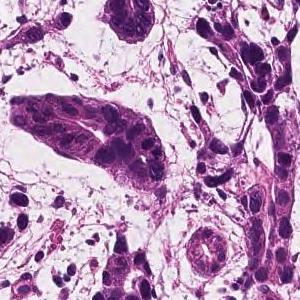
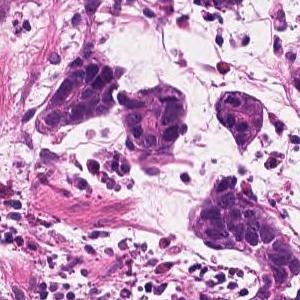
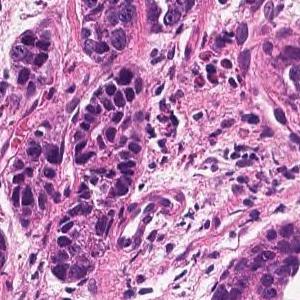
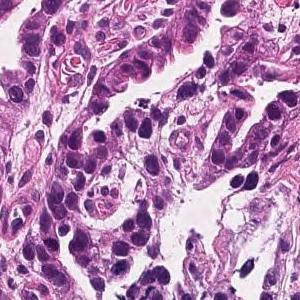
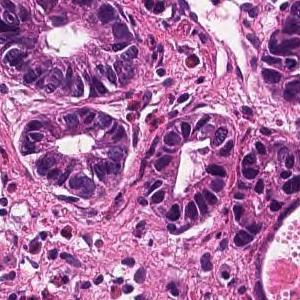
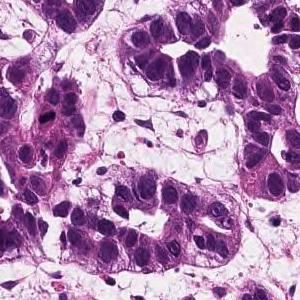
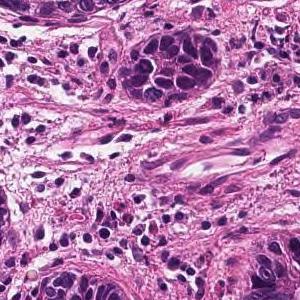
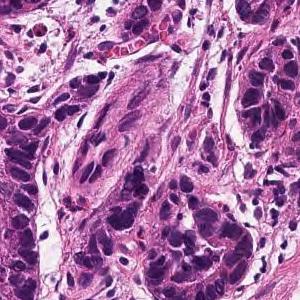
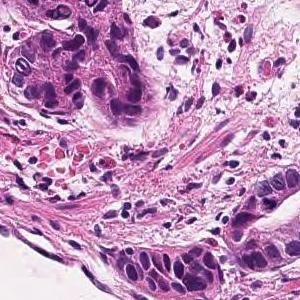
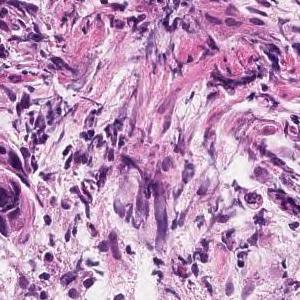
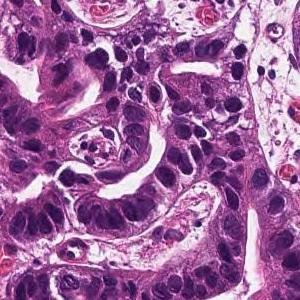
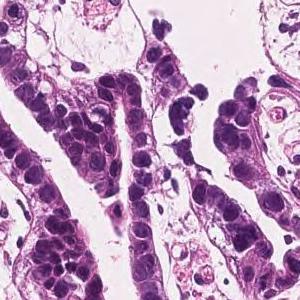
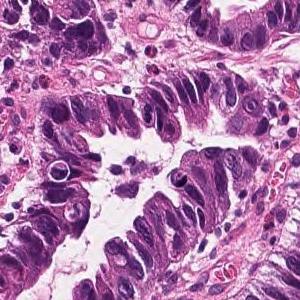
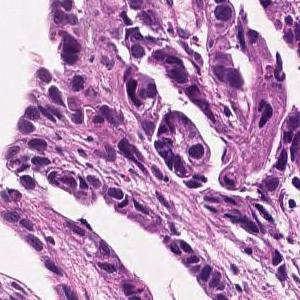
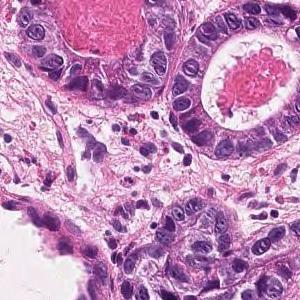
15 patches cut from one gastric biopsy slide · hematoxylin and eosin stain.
Report on the slide these tiles come from. The report and the diagnosis cover the entire slide, so not every feature they name need be visible here, and some tissue shown may not be tumor.
In the superficial epithelium, tumor tissue that invades by forming medium-sized to small, irregular ducts is observed. Well differentiated tubular adenocarcinoma.
